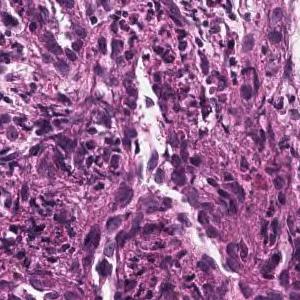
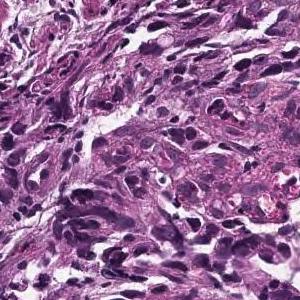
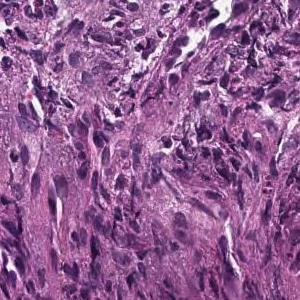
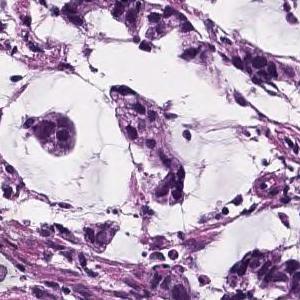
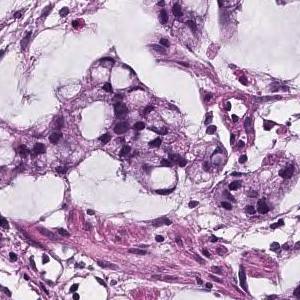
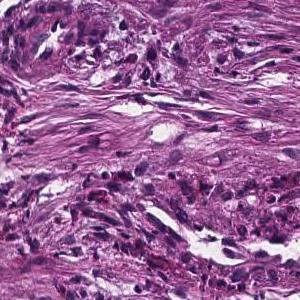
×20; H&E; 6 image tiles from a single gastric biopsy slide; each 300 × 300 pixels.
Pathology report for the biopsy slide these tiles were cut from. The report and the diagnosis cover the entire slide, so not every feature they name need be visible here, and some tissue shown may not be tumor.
Atypical epithelial cells form obscure ductal structures or small solid follicles, and tumor tissue that proliferates invasively with proliferation of inflammatory granulation tissue is observed. Mucinous adenocarcinoma .
